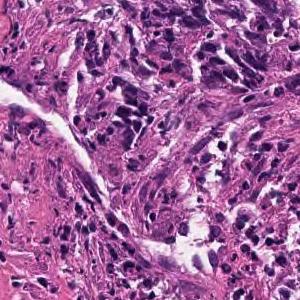
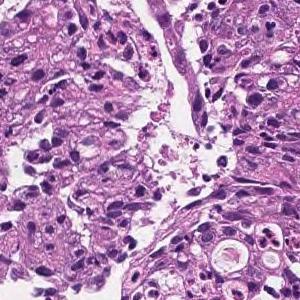
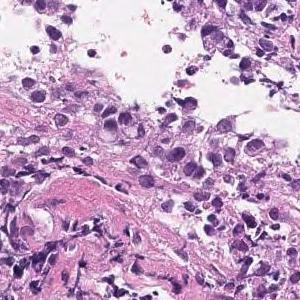
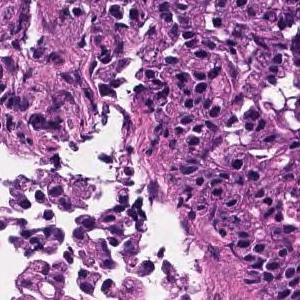
4 image tiles from a single gastric biopsy slide.
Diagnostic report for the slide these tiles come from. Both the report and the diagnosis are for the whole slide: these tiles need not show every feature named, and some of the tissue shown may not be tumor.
Medium to small, irregular glandular ducts are formed in the superficial epithelium, and in some cases, the glandular ducts are fused to show solid alveolar lesions and infiltrating tumor tissue is observed. Moderately to poorly differentiated adenocarcinoma.
